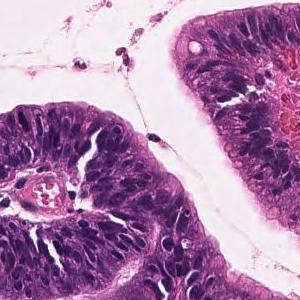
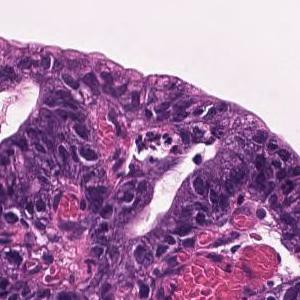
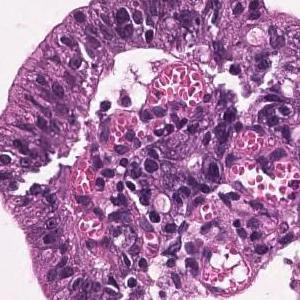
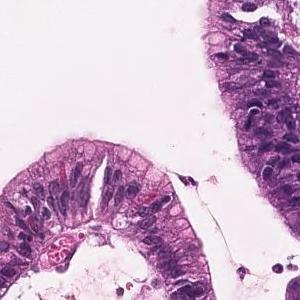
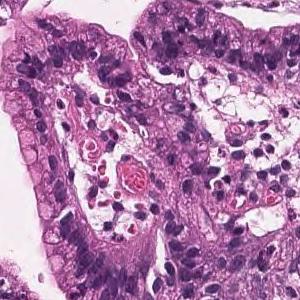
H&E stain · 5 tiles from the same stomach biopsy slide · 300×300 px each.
Pathology report for the slide these tiles were cut from. Both the report and the diagnosis are for the whole slide: these tiles need not show every feature named, and some of the tissue shown may not be tumor.
On the superficial epithelium, tumor tissue that infiltrates by forming medium-sized papillary or small irregular ducts is observed. Papillary adenocarcinoma
